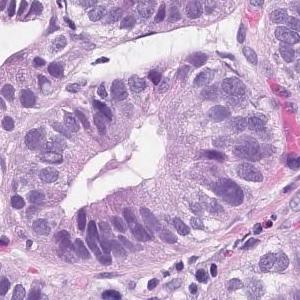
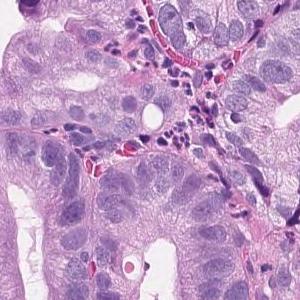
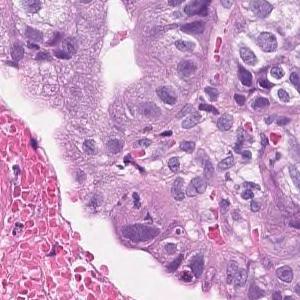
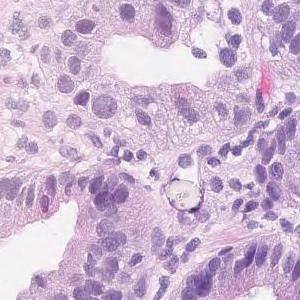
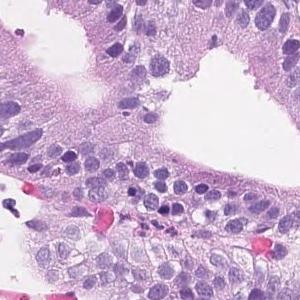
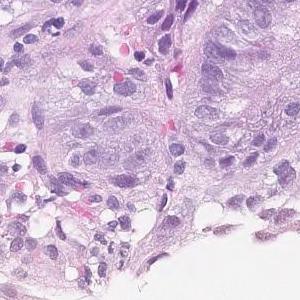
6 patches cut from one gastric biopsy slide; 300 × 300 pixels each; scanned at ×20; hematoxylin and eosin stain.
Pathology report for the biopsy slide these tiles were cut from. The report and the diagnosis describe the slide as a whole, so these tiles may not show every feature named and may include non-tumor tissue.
Tumor tissue consisting of medium-sized and irregular ducts is observed infiltrating in the superficial epithelium. Tumor cells are highly columnar, with nuclei aligned basolaterally and polarized. Well differentiated tubular adenocarcinoma.
